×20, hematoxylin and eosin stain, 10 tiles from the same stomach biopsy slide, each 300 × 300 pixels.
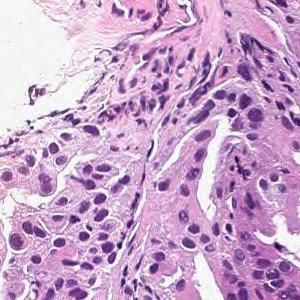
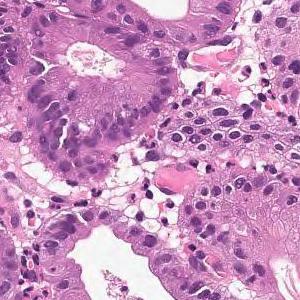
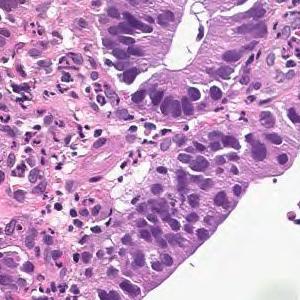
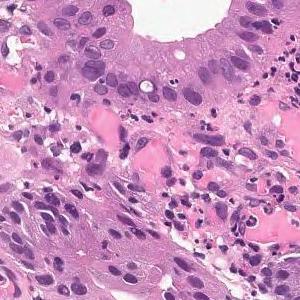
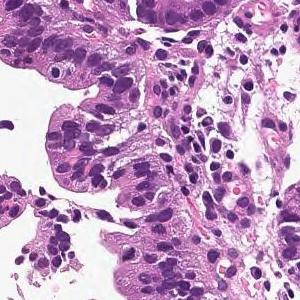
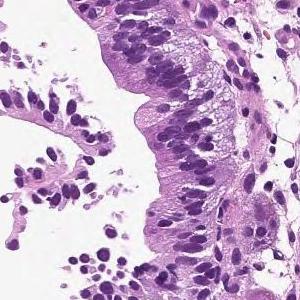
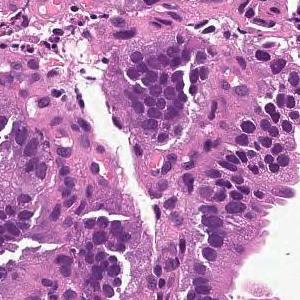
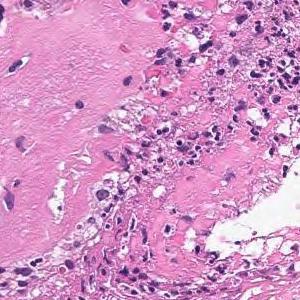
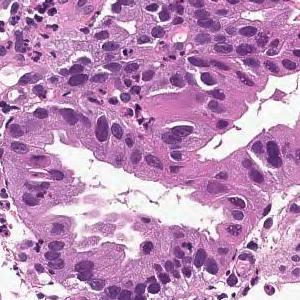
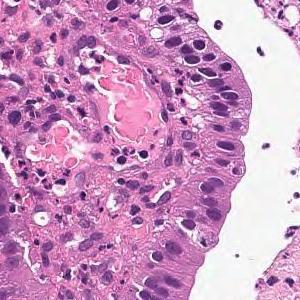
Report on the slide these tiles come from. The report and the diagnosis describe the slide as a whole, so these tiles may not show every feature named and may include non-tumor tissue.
From the superficial epithelium to the muscularis mucosae, tumor tissue consisting of medium-sized and irregular glandular ducts infiltrating is observed. Well differentiated tubular adenocarcinoma
